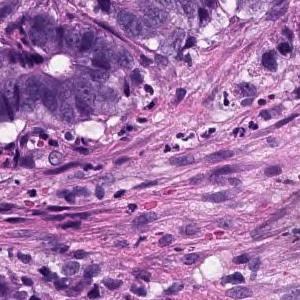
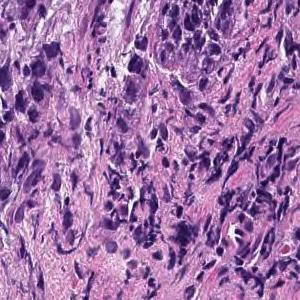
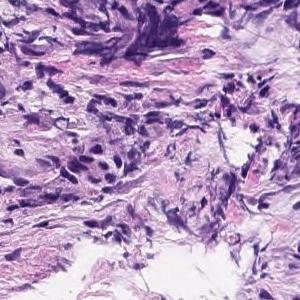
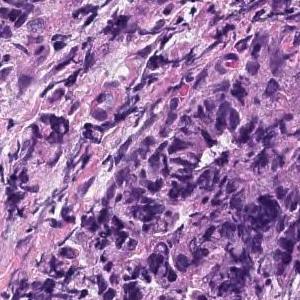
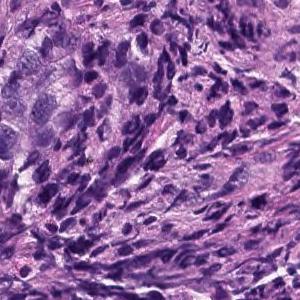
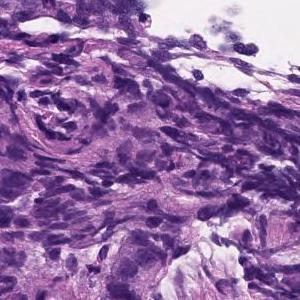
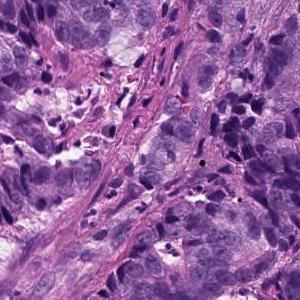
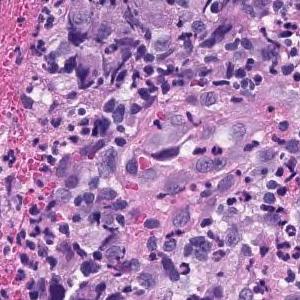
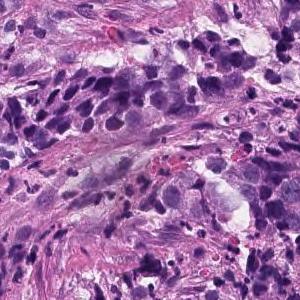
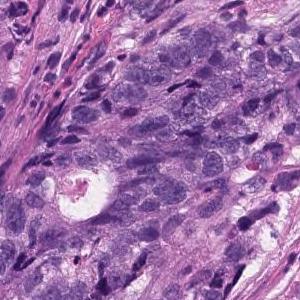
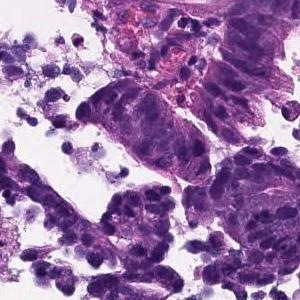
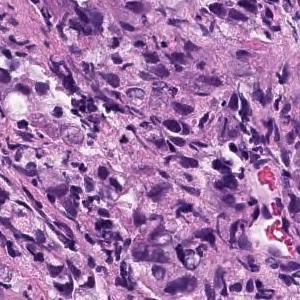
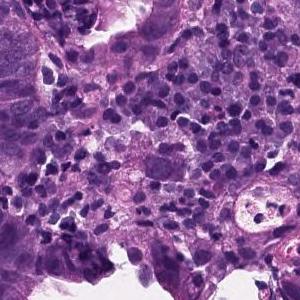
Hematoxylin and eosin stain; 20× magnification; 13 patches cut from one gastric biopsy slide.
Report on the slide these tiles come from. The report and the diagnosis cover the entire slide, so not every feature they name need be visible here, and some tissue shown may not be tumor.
Medium to small, irregular glandular ducts are formed in the superficial epithelium, and in some cases, the glandular ducts are fused to show solid alveolar lesions and infiltrating tumor tissue is observed. Moderately to poorly differentiated adenocarcinoma.
